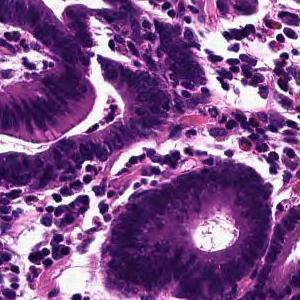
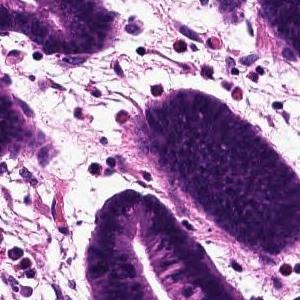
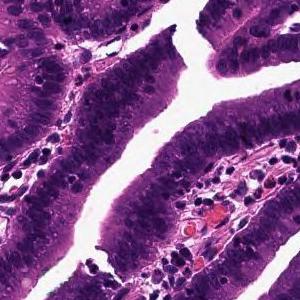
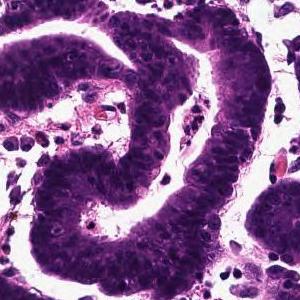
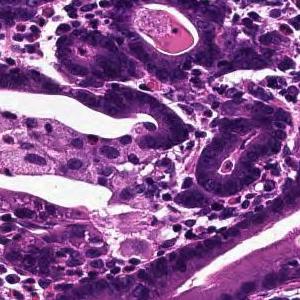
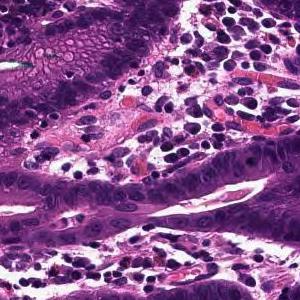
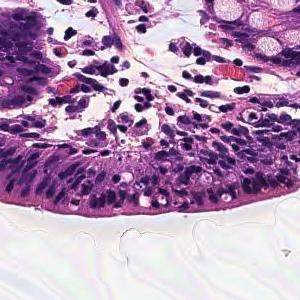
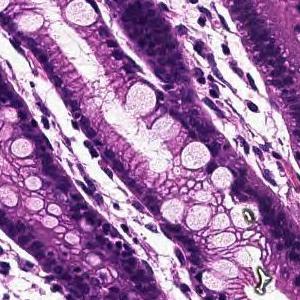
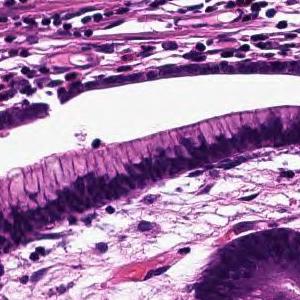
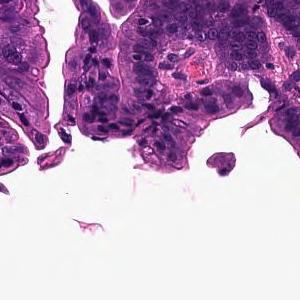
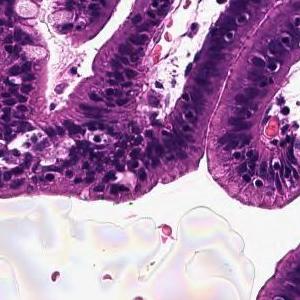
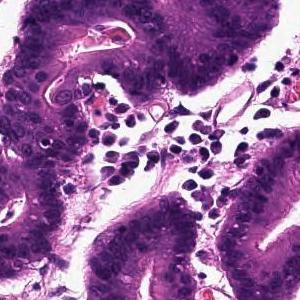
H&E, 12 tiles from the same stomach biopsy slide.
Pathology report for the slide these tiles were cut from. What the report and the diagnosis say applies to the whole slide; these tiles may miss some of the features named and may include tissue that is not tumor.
Tumor tissue that infiltrates by forming large papillary or large irregular glandular ducts is observed confined to the mucosa. Papillary adenocarcinoma
